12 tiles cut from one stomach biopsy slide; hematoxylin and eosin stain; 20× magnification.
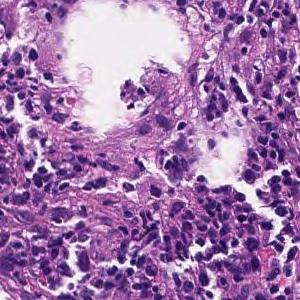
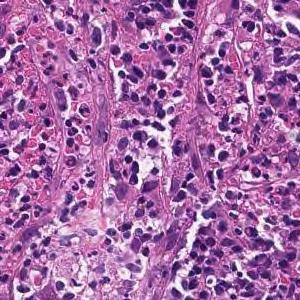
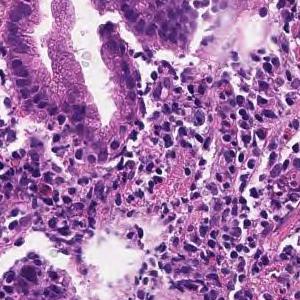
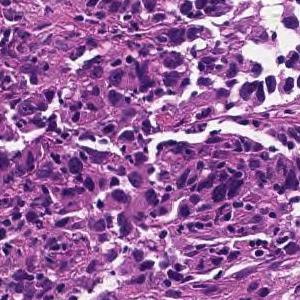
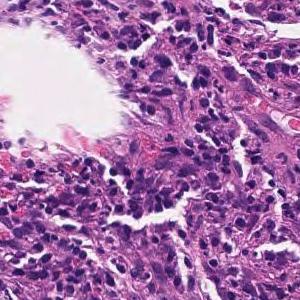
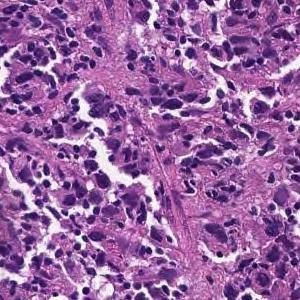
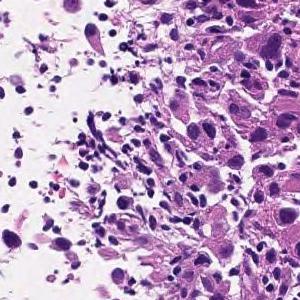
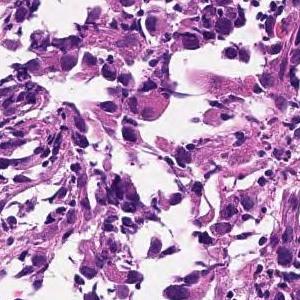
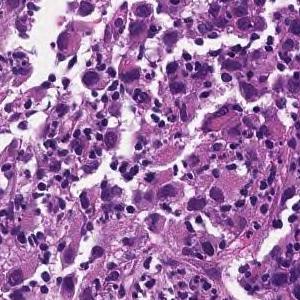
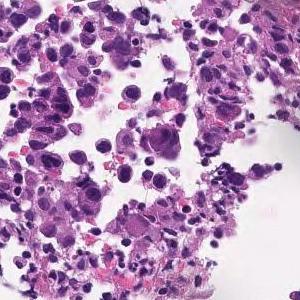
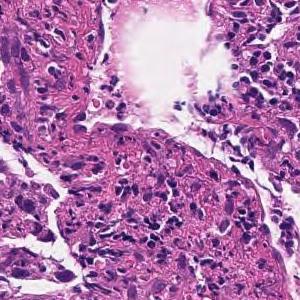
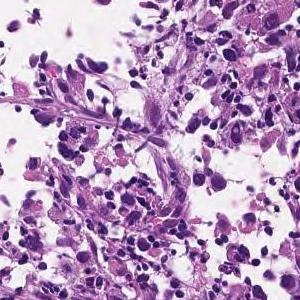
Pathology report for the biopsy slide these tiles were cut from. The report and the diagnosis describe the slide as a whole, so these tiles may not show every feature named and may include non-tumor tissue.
The superficial epithelium shows a large sheet-like shape, and some tumor tissue infiltrates with small irregular ducts. Poorly differentiated adenocarcinoma, solid-type (poorly differentiated adenocarcinoma, solid type)
Subtype: Poorly differentiated adenocarcinoma, solid type. This name comes from the Japanese Classification of Gastric Carcinoma; the WHO 2019 classification calls it tubular adenocarcinoma, poorly differentiated.
